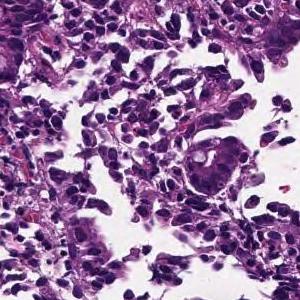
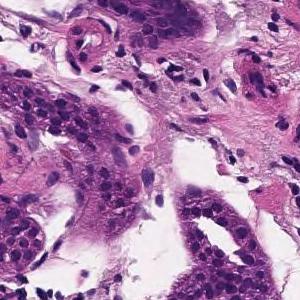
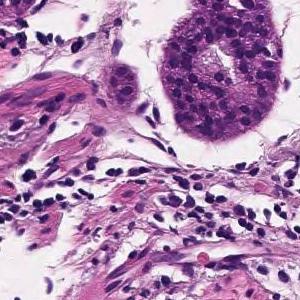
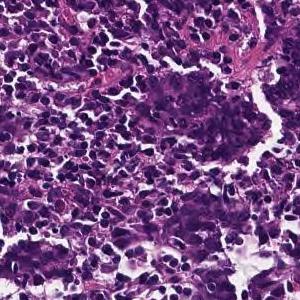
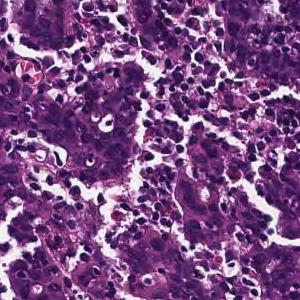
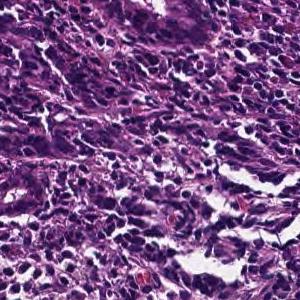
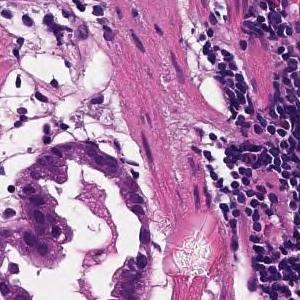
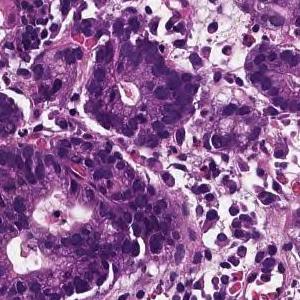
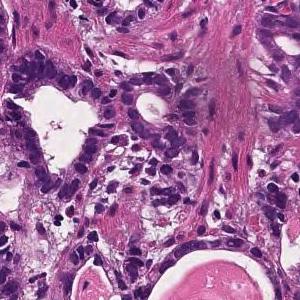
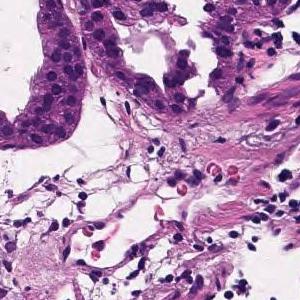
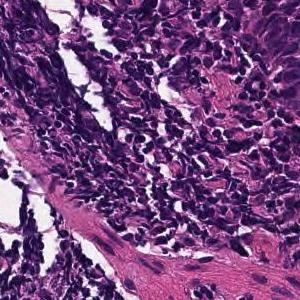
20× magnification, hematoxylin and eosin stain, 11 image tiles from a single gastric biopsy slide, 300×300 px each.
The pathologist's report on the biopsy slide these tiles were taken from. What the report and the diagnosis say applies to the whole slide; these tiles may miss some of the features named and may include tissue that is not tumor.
Tumor tissue consisting of medium-sized, cord-like or irregular glandular infiltration is observed in the superficial epithelium. Poorly differentiated adenocarcinoma, non-solid type or moderately differentiated tubular adenocarcinoma
Subtype: Moderately to poorly differentiated adenocarcinoma.
The term "non-solid type" comes from the Japanese Classification of Gastric Carcinoma.
